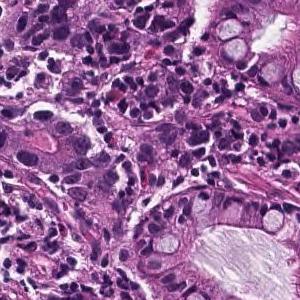
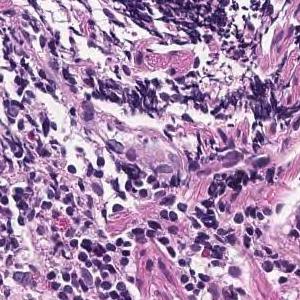
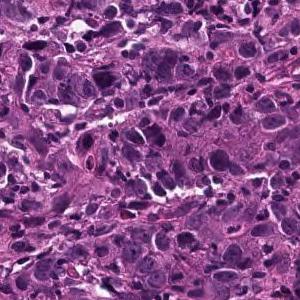
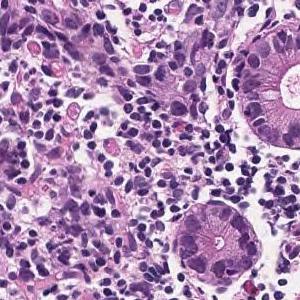
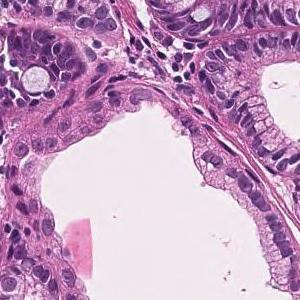
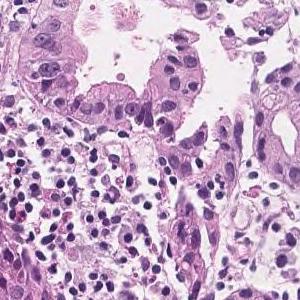
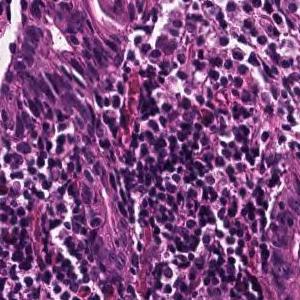
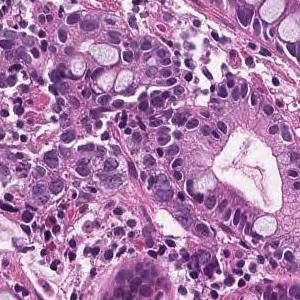
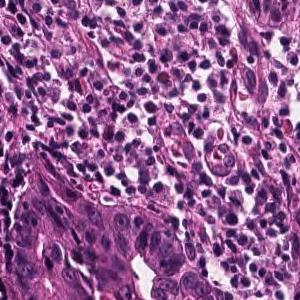
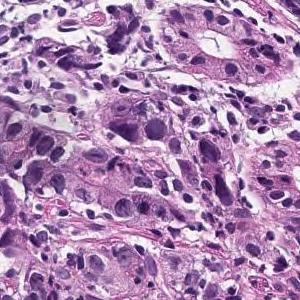
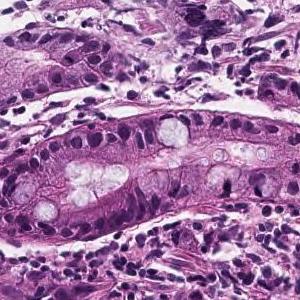
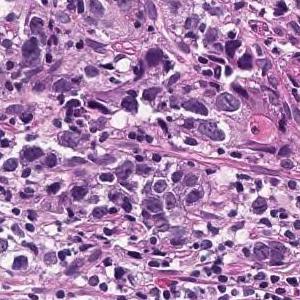
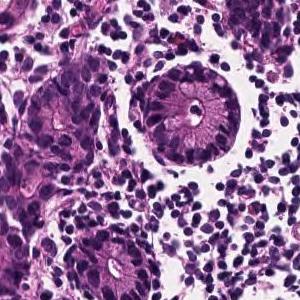
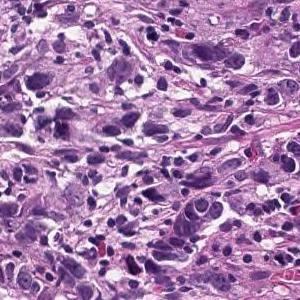
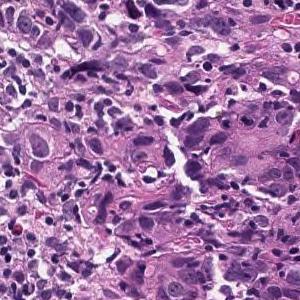
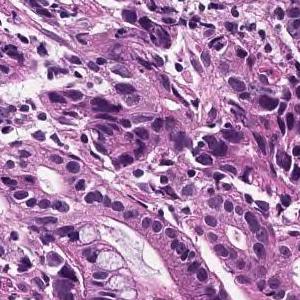
H&E; 16 tiles cut from one stomach biopsy slide.
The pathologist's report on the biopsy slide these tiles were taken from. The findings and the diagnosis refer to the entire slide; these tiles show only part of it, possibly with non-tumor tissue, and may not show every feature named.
Tumor tissue consisting of medium-sized, cord-like or irregular glandular infiltration is observed in the superficial epithelium. Poorly differentiated adenocarcinoma, non-solid type or moderately differentiated tubular adenocarcinoma
Classified as moderately to poorly differentiated adenocarcinoma.
"Non-solid type" is a category of the Japanese Classification of Gastric Carcinoma.
